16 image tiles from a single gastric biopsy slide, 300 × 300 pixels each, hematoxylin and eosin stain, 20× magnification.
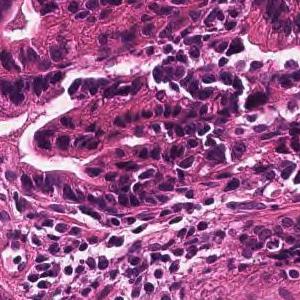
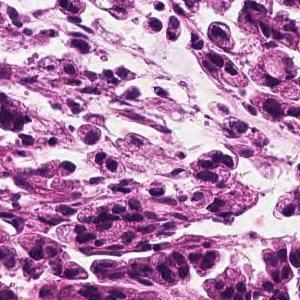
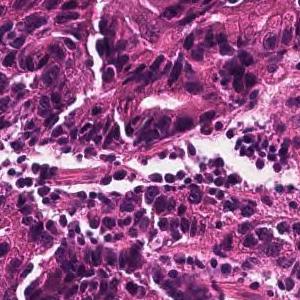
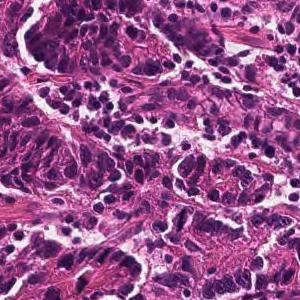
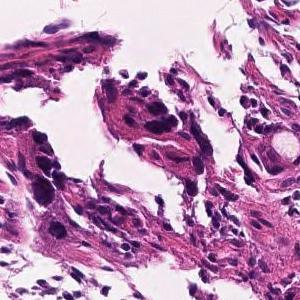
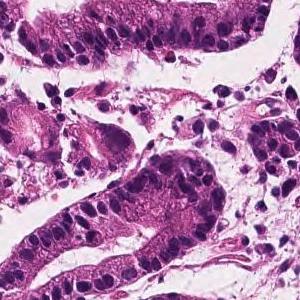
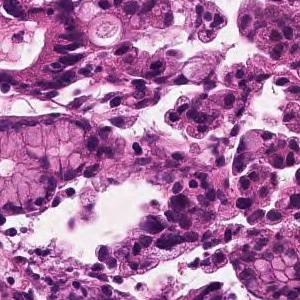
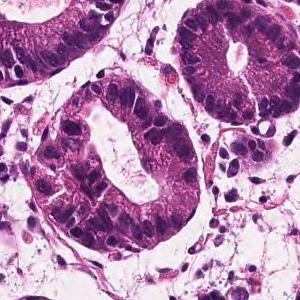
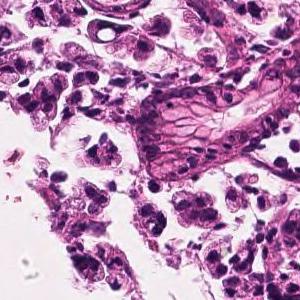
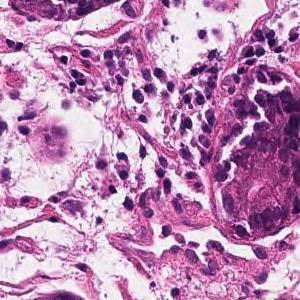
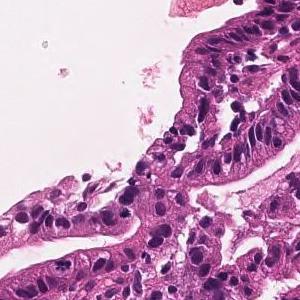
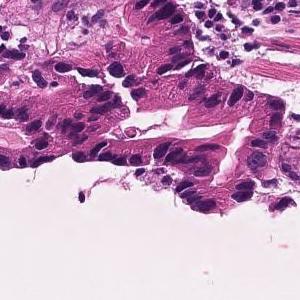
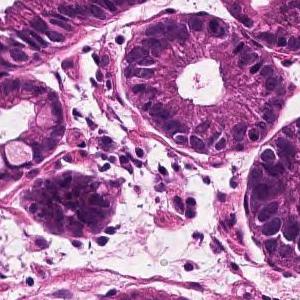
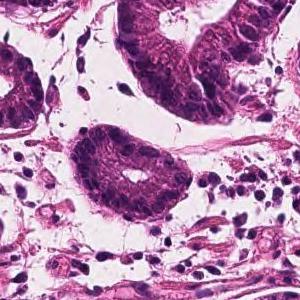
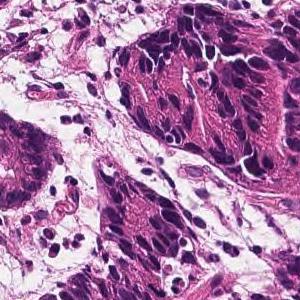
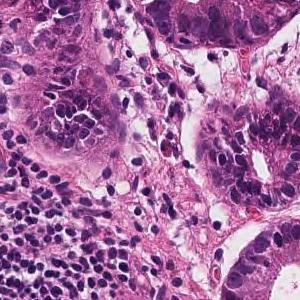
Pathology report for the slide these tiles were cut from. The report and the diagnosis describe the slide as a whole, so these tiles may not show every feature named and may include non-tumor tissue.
In the superficial epithelium, tumor tissue that invades by forming medium-sized to small, irregular ducts is observed. moderately differentiated tubular adenocarcinoma.
